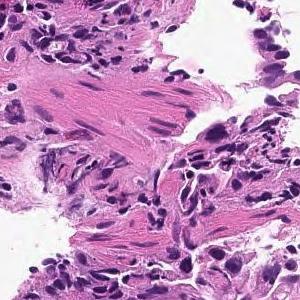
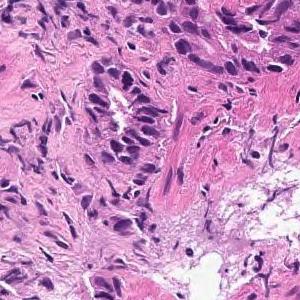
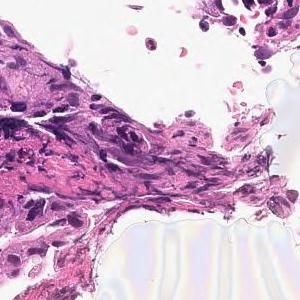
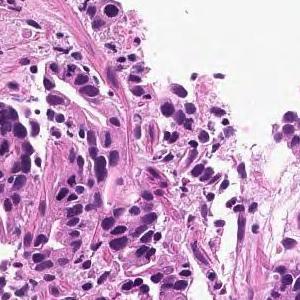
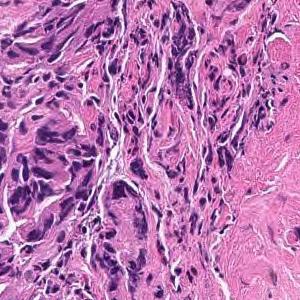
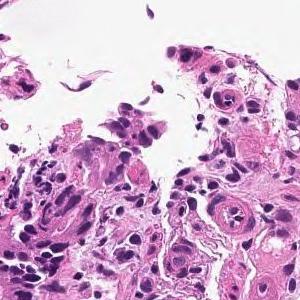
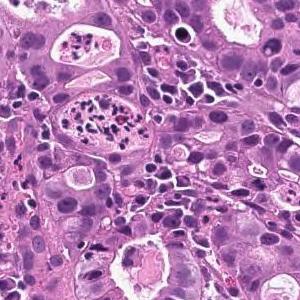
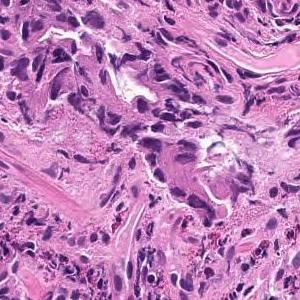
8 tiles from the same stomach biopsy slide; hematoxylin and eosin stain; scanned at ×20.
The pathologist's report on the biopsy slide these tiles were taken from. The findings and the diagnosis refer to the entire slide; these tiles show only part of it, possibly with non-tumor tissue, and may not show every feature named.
On the superficial epithelium, tumor tissue consisting of large irregular glandular ducts partially fused and infiltrated is observed. Well to moderately differentiated tubular adenocarcinoma (well differentiated tubular adenocarcinoma, moderately differentiated tubular adenocarcinoma)
Histological subtype: Well to moderately differentiated tubular adenocarcinoma.
